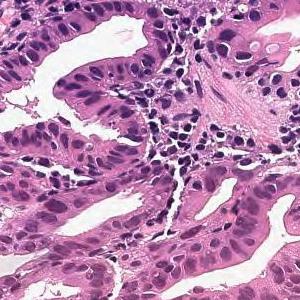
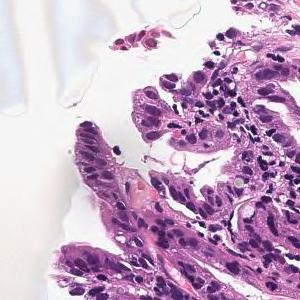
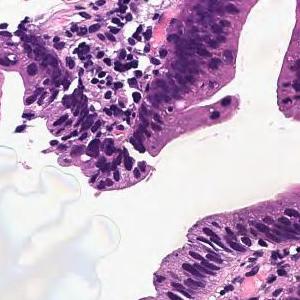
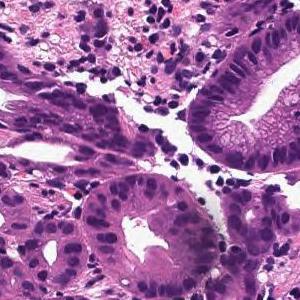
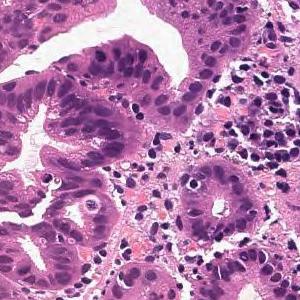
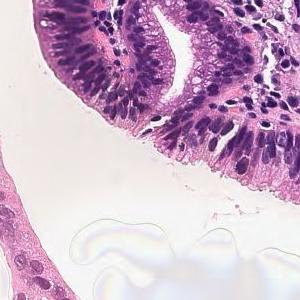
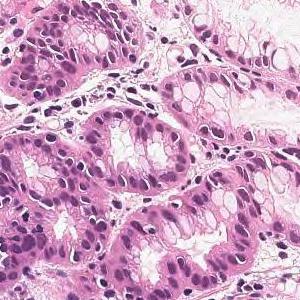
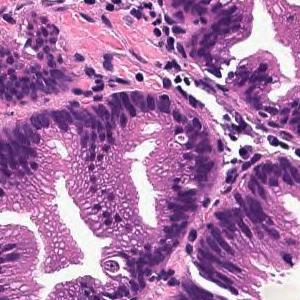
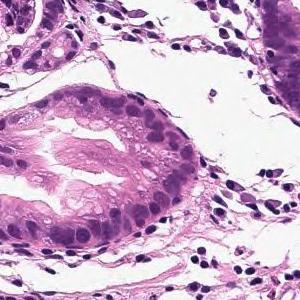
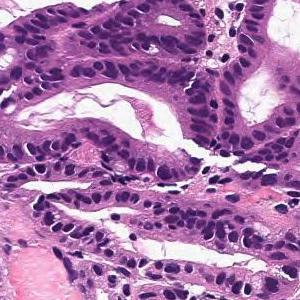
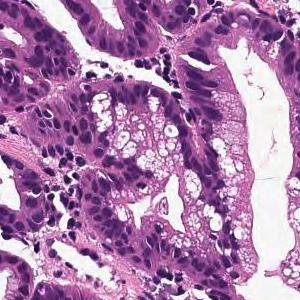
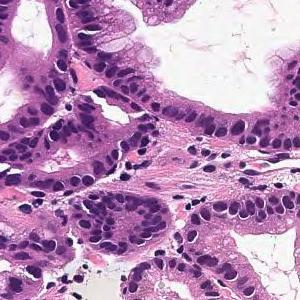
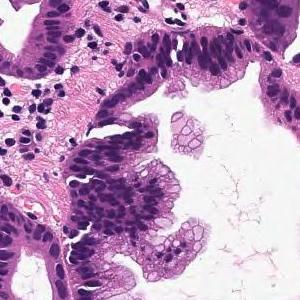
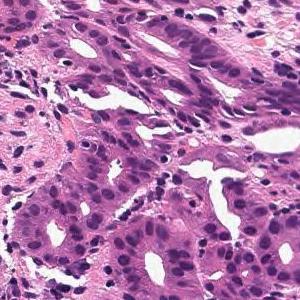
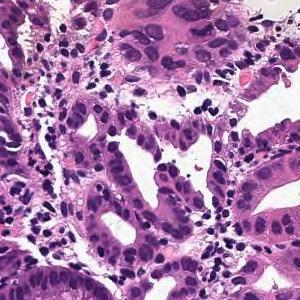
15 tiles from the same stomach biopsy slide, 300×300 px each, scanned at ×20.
Report on the slide these tiles come from. The findings and the diagnosis refer to the entire slide; these tiles show only part of it, possibly with non-tumor tissue, and may not show every feature named.
Cells with elliptical or atypical nuclei form dense ducts with relatively clear growth. Well differentiated tubular adenocarcinoma
